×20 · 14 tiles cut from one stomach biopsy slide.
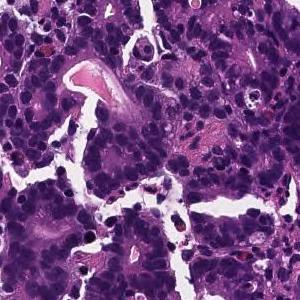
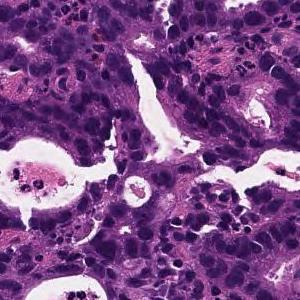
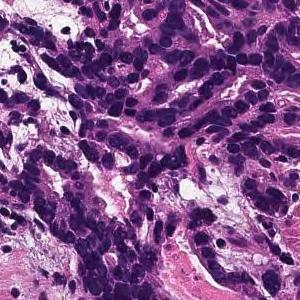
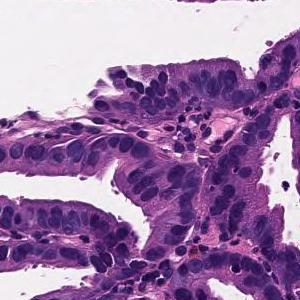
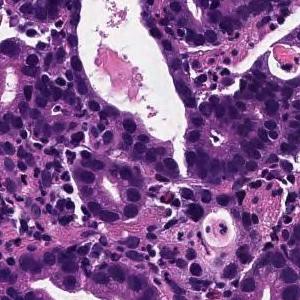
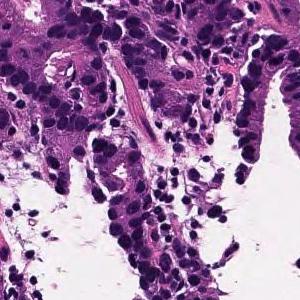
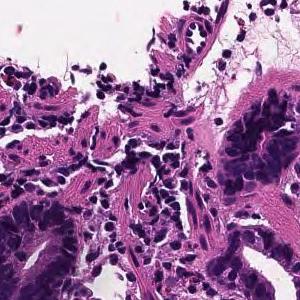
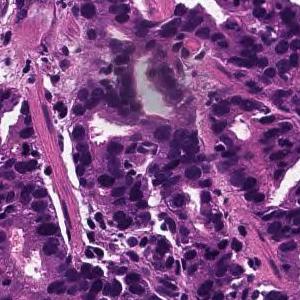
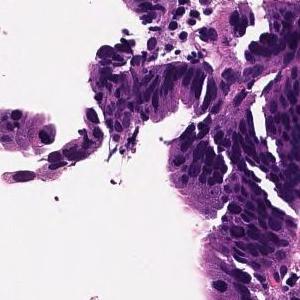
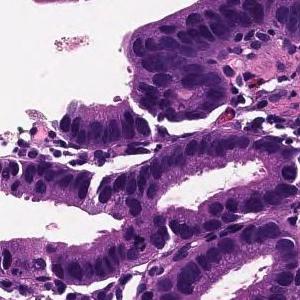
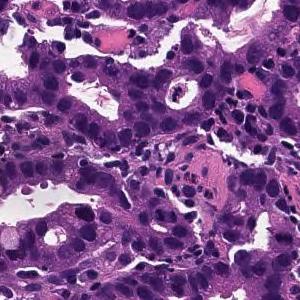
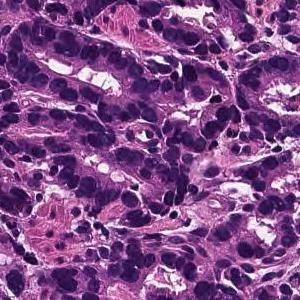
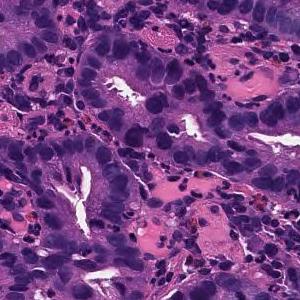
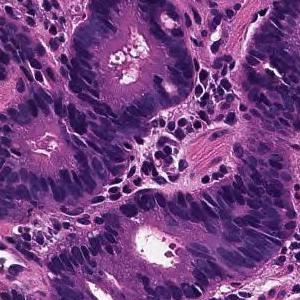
Pathology report for the slide these tiles were cut from. The report and the diagnosis describe the slide as a whole, so these tiles may not show every feature named and may include non-tumor tissue.
On the superficial epithelium, tumor tissue is found in which medium-sized irregular gland ducts fuse with each other and infiltrate. moderately differentiated tubular adenocarcinoma
